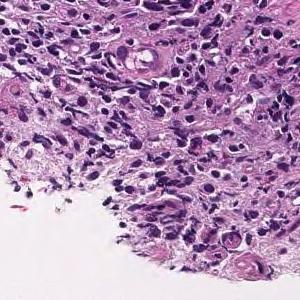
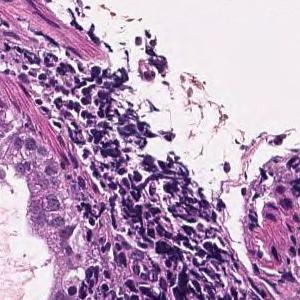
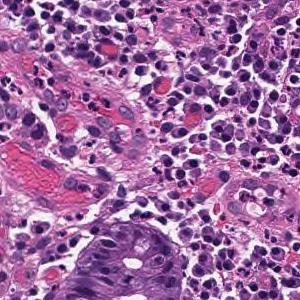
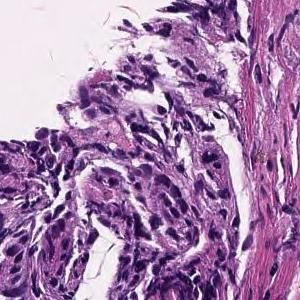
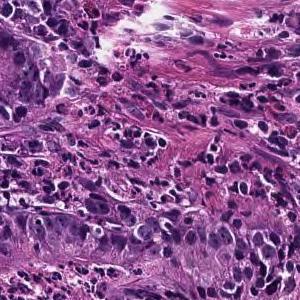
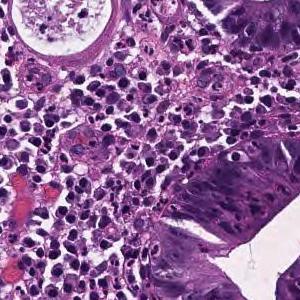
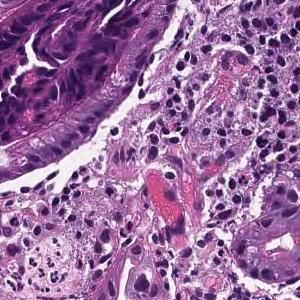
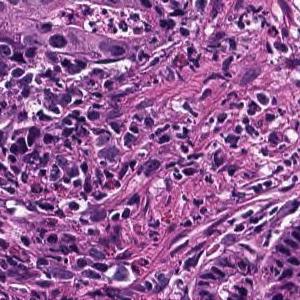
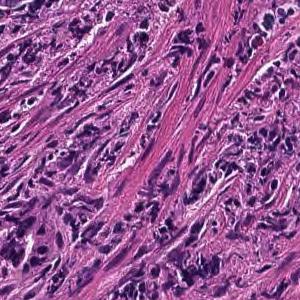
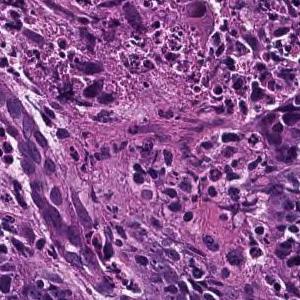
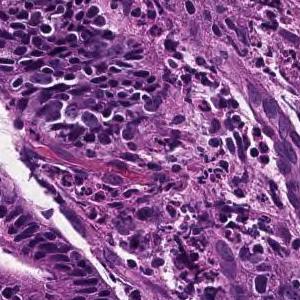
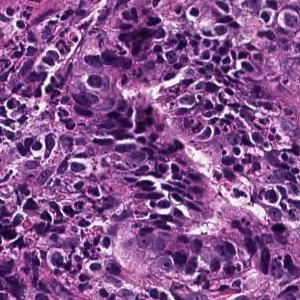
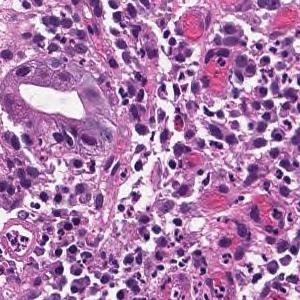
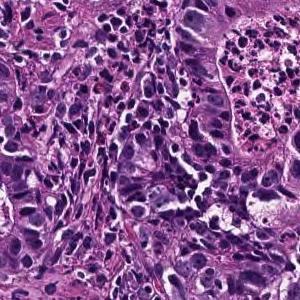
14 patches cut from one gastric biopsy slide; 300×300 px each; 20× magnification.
Report on the slide these tiles come from. Both the report and the diagnosis are for the whole slide: these tiles need not show every feature named, and some of the tissue shown may not be tumor.
On the superficial epithelium, tumor tissue consisting of large, irregular glandular ducts partially fused and infiltrated is observed. Well to moderately differentiated tubular adenocarcinoma (well differentiated tubular adenocarcinoma, moderately differentiated tubular adenocarcinoma)
Histologic type: Well to moderately differentiated tubular adenocarcinoma.
